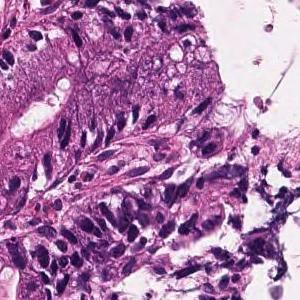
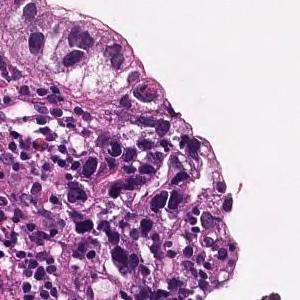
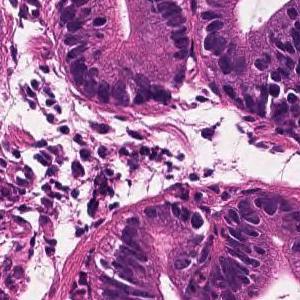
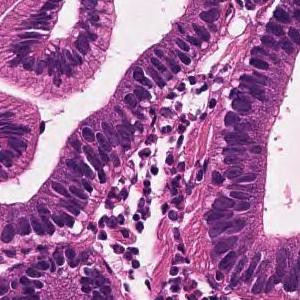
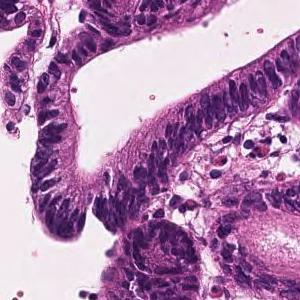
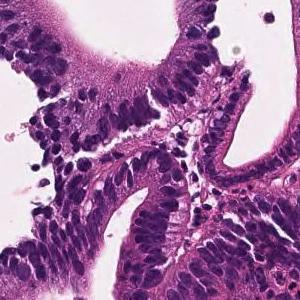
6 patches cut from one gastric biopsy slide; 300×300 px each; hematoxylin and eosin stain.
Pathology report for the slide these tiles were cut from. The findings and the diagnosis refer to the entire slide; these tiles show only part of it, possibly with non-tumor tissue, and may not show every feature named.
A large irregular tubular structure is exhibited in the epithelium, and tumor tissue that partially fuses and infiltrates and proliferates is observed. Large columnar tumor cells exhibit enlarged nucleus, hyperchromatism, and mitotic figures. Well differentiated tubular adenocarcinoma
